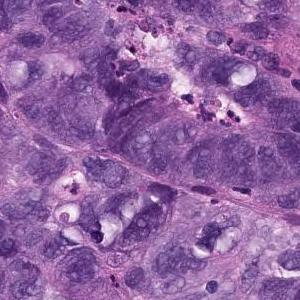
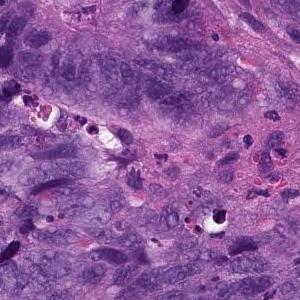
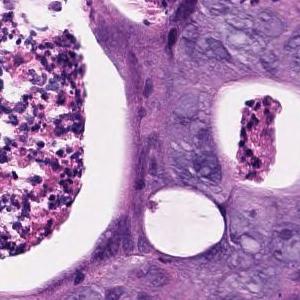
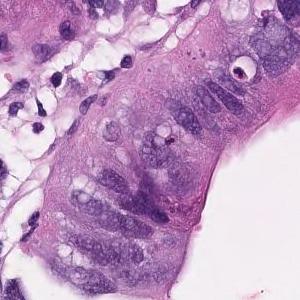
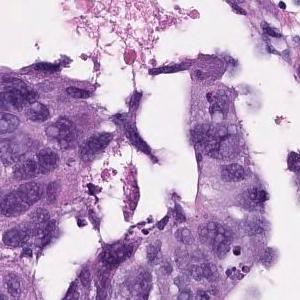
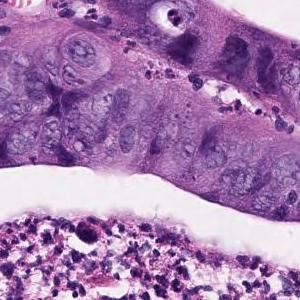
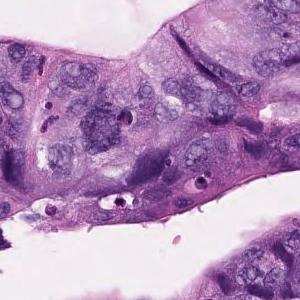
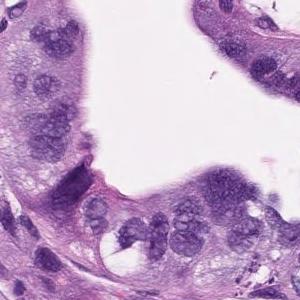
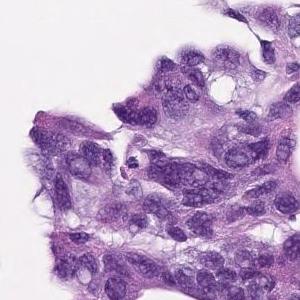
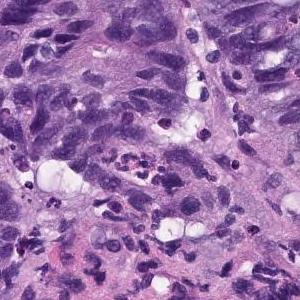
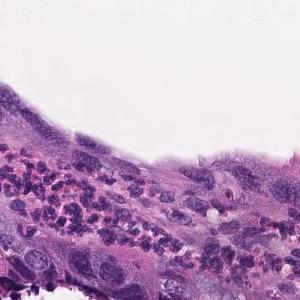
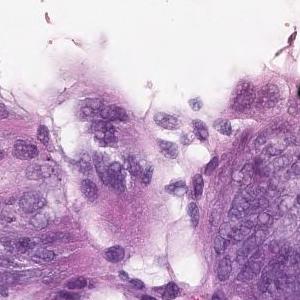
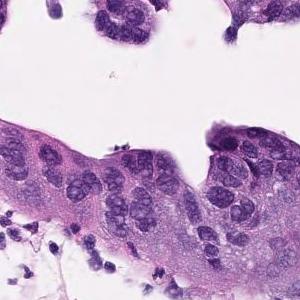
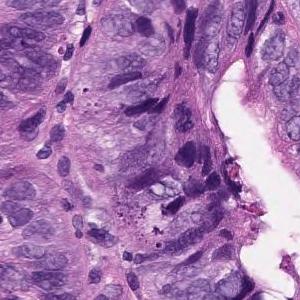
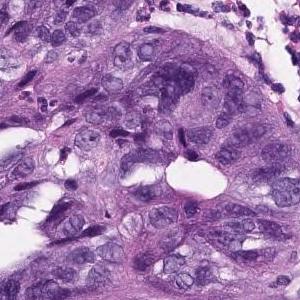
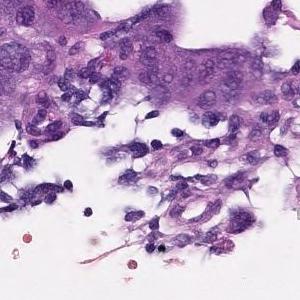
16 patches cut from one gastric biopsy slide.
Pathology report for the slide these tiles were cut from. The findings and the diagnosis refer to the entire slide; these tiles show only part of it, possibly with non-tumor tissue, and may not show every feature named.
In the superficial epithelium, tumor tissue that invades by forming medium-sized to small, irregular ducts is observed. Moderately differentiated adenocarcinoma.
Subtype: Moderately differentiated tubular adenocarcinoma.
